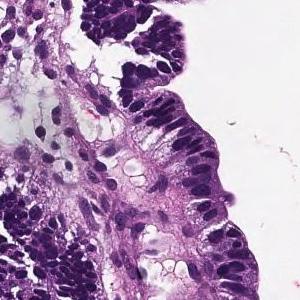
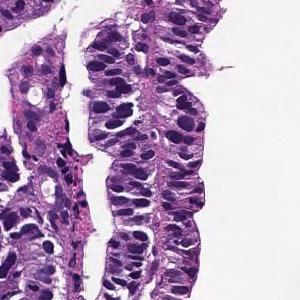
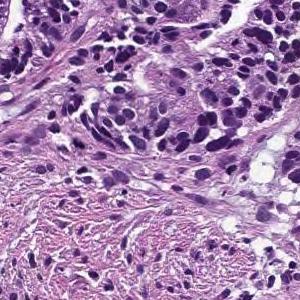
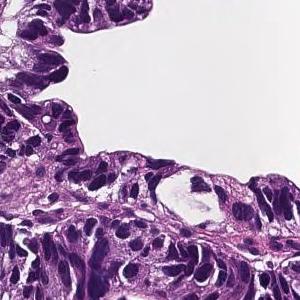
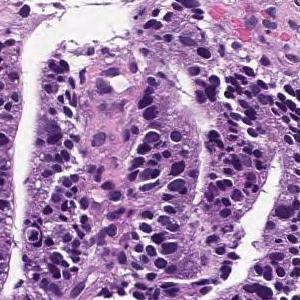
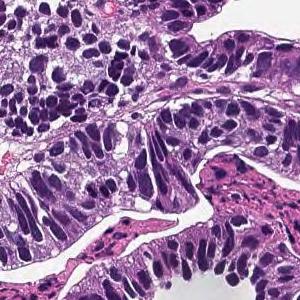
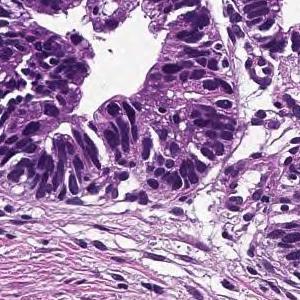
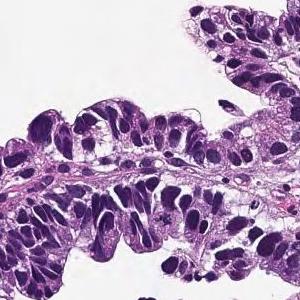
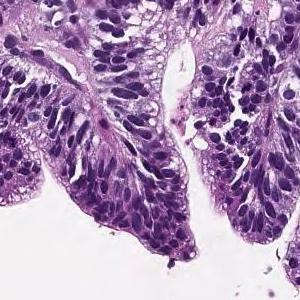
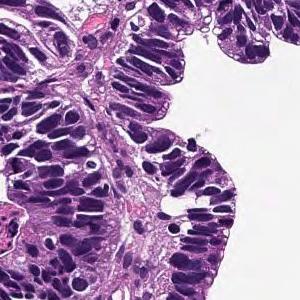
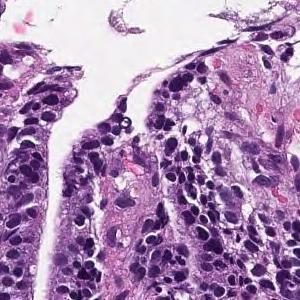
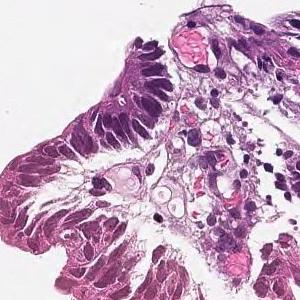
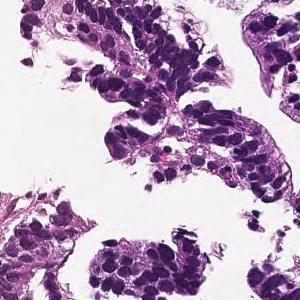
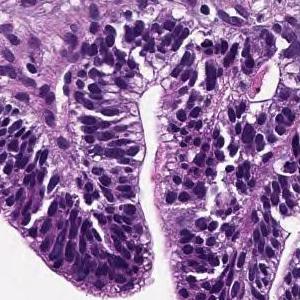
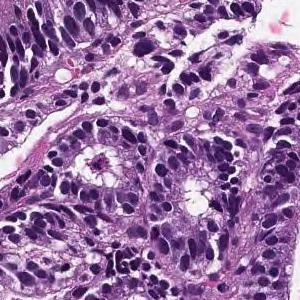
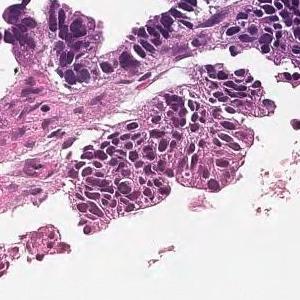
×20, H&E, 16 patches cut from one gastric biopsy slide.
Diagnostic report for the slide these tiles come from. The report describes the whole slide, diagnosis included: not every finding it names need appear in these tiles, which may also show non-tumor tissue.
Tumor cells are large, highly columnar, large club-shaped nuclei, and are associated with chromatin aggregation. Papillary adenocarcinoma.
